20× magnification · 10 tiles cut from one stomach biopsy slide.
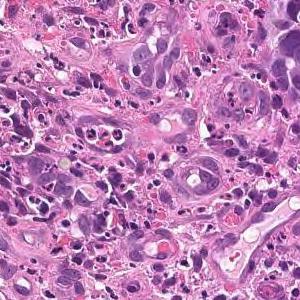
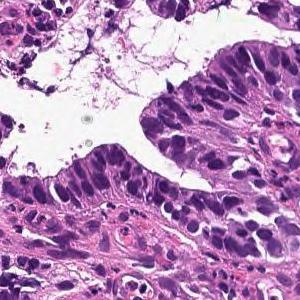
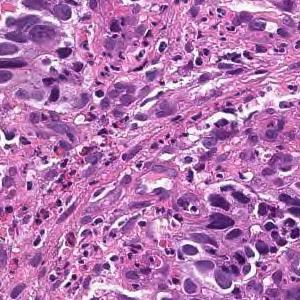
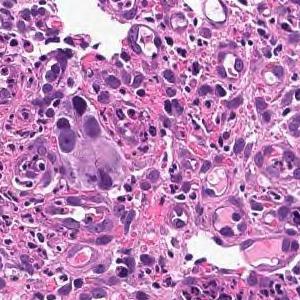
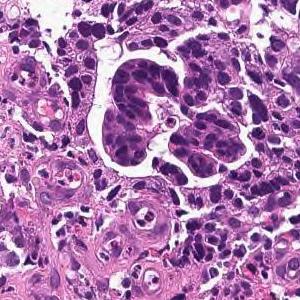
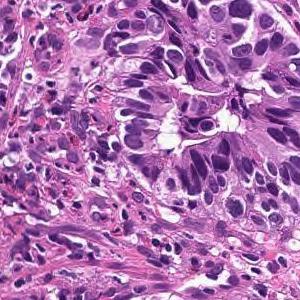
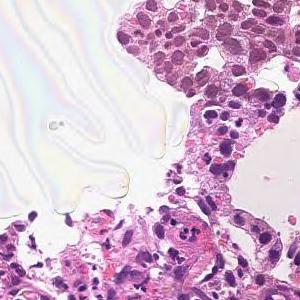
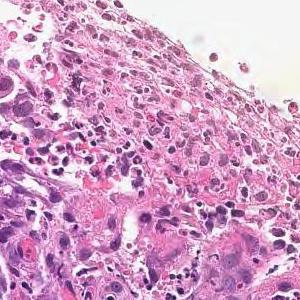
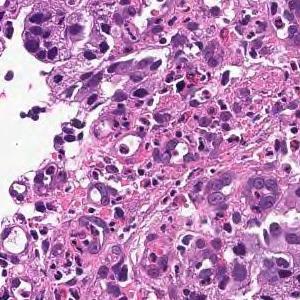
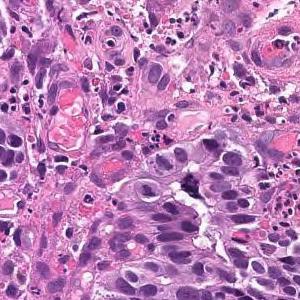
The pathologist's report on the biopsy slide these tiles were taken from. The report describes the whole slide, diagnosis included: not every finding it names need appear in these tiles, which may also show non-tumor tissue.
On the superficial epithelium, tumor tissue consisting of large irregular glandular ducts partially fused and infiltrated is observed. Well to moderately differentiated tubular adenocarcinoma (well differentiated tubular adenocarcinoma, moderately differentiated tubular adenocarcinoma)
Classified as well to moderately differentiated tubular adenocarcinoma.
